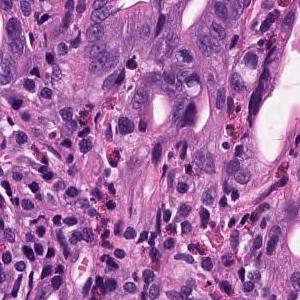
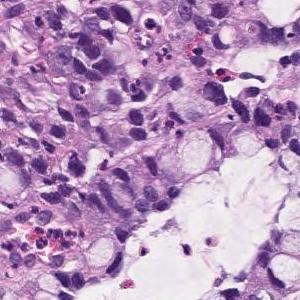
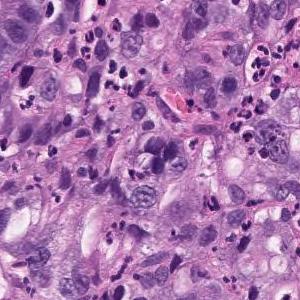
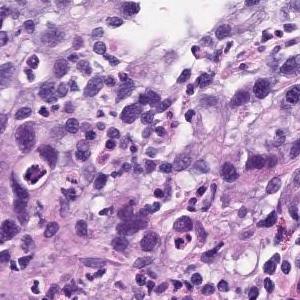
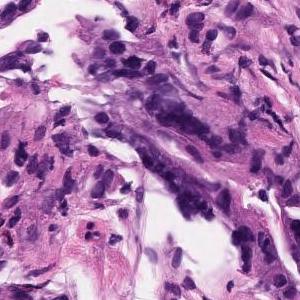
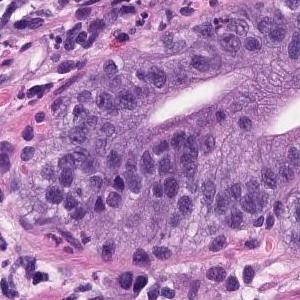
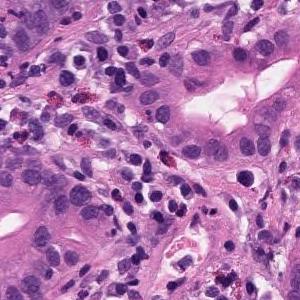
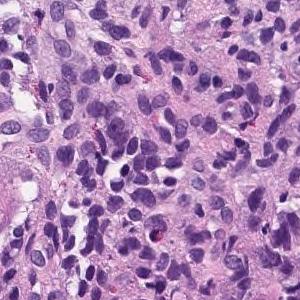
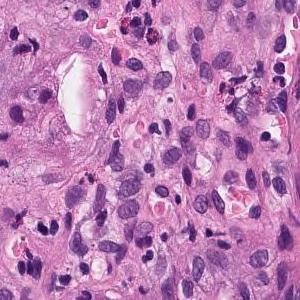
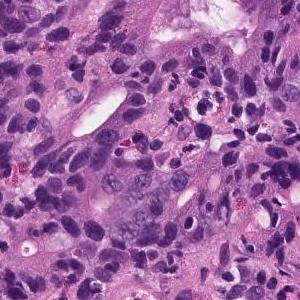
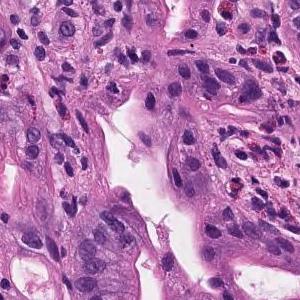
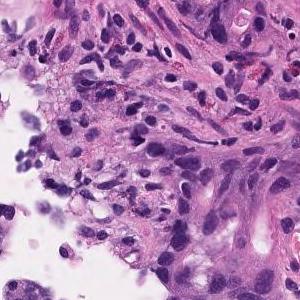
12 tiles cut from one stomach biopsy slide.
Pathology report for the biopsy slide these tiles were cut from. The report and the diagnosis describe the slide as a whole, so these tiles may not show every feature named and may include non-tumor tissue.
moderately differentiated tubular adenocarcinoma, Poorly differentiated adenocarcinoma
Dataset label: poorly differentiated adenocarcinoma, solid type. This name comes from the Japanese Classification of Gastric Carcinoma; the WHO 2019 classification calls it tubular adenocarcinoma, poorly differentiated.
